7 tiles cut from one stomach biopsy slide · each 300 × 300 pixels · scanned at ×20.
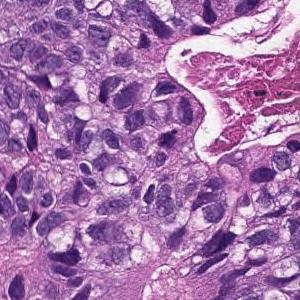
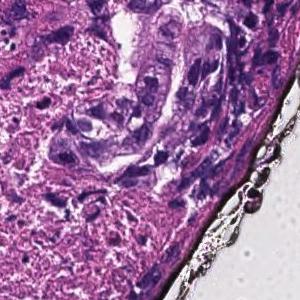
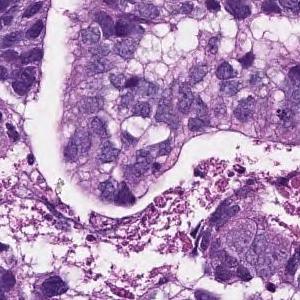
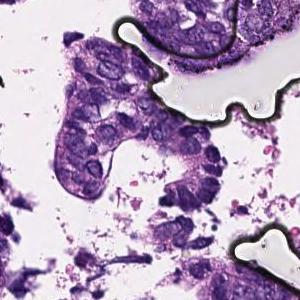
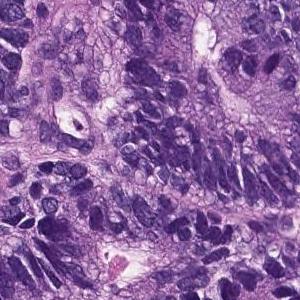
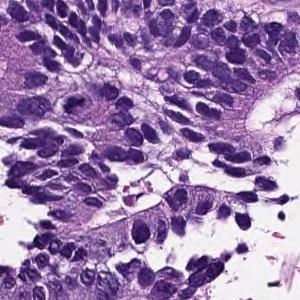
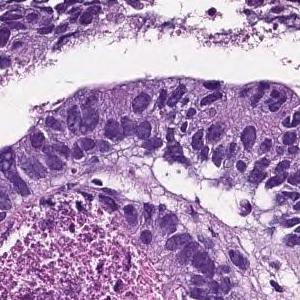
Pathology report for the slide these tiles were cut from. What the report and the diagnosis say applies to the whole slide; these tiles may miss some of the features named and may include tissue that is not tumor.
In the superficial epithelium, tumor tissue that invades by forming medium-sized to small, irregular ducts is observed. moderately differentiated tubular adenocarcinoma.
